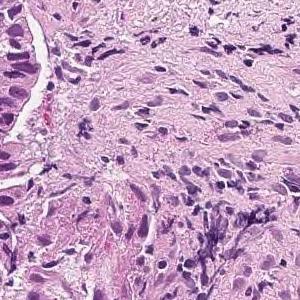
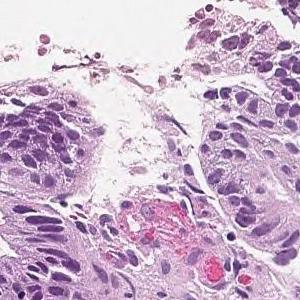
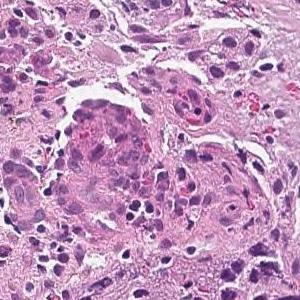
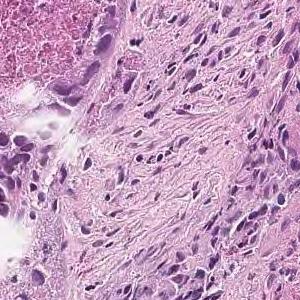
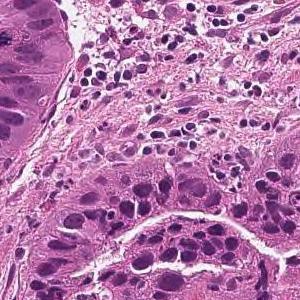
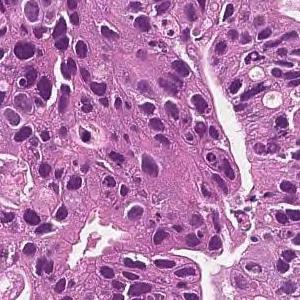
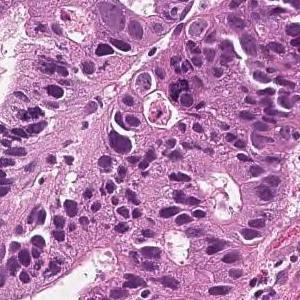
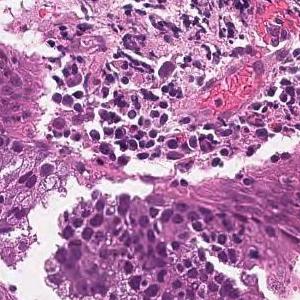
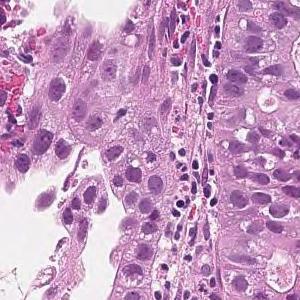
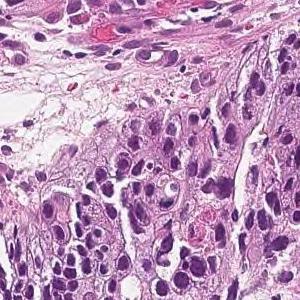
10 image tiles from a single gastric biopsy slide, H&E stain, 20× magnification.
The pathologist's report on the biopsy slide these tiles were taken from. Both the report and the diagnosis are for the whole slide: these tiles need not show every feature named, and some of the tissue shown may not be tumor.
In the superficial epithelium, tumor tissue that invades by forming medium-sized to small, irregular ducts is observed. moderately differentiated tubular adenocarcinoma.
